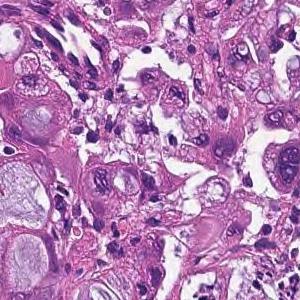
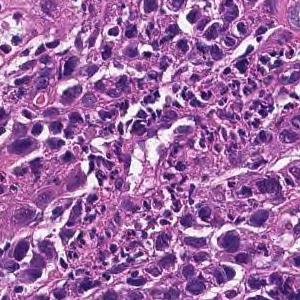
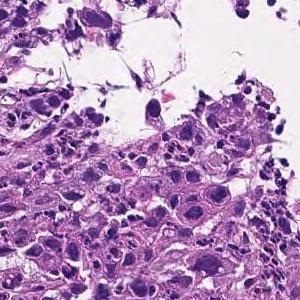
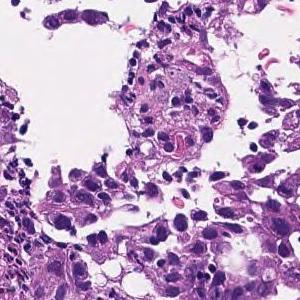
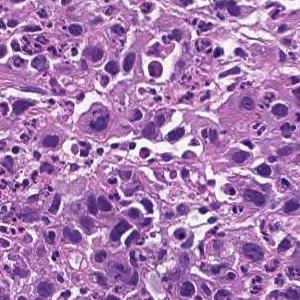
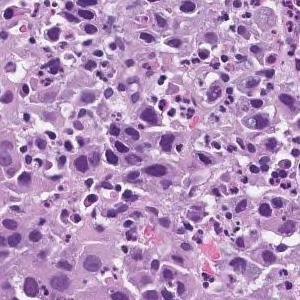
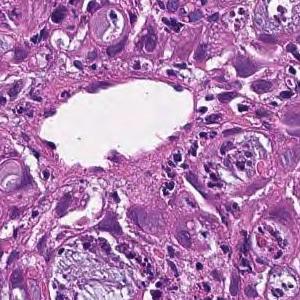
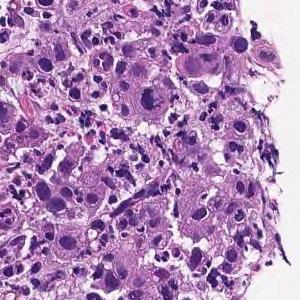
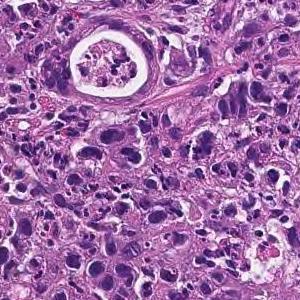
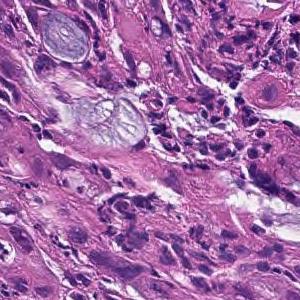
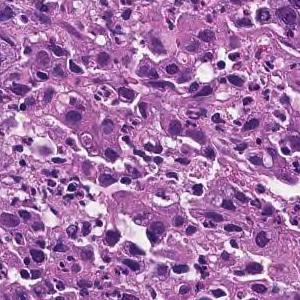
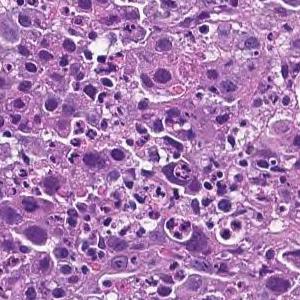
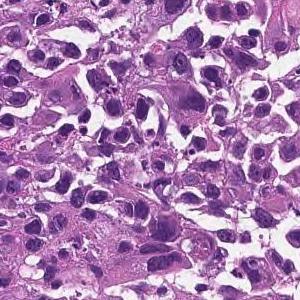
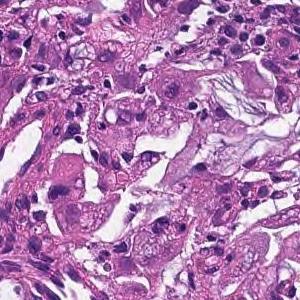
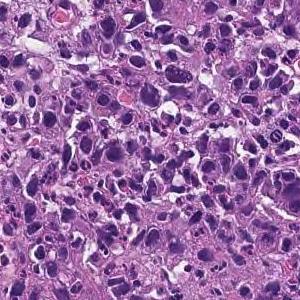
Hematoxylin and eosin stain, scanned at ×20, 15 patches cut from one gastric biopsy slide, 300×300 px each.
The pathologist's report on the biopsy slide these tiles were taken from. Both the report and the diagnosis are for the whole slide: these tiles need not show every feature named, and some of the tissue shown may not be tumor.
The superficial epithelium shows a large sheet-like shape, and some tumor tissue infiltrates with small irregular ducts. Poorly differentiated adenocarcinoma, solid-type
Histologic type: Poorly differentiated adenocarcinoma, solid type, a category of the Japanese Classification of Gastric Carcinoma; in the WHO 2019 classification it is tubular adenocarcinoma, poorly differentiated.
